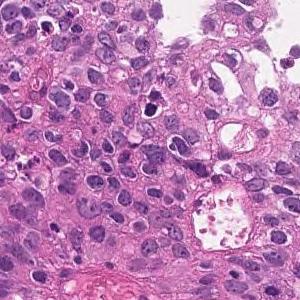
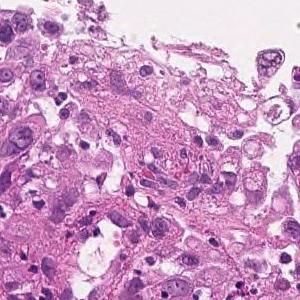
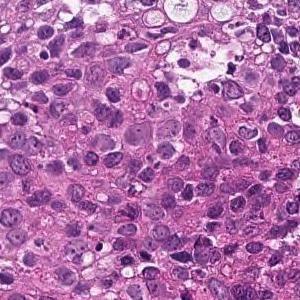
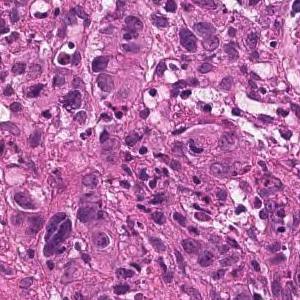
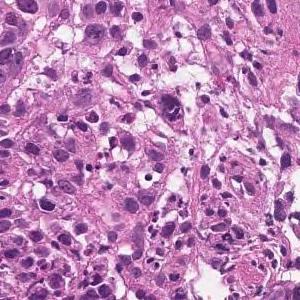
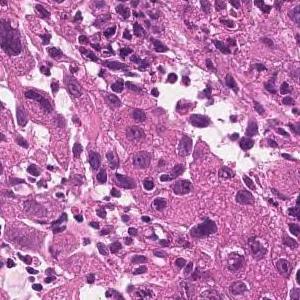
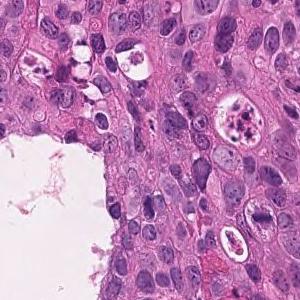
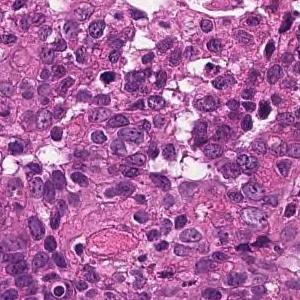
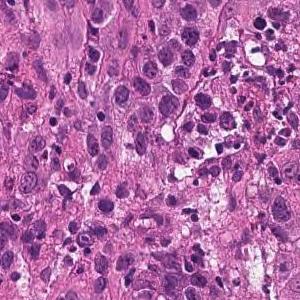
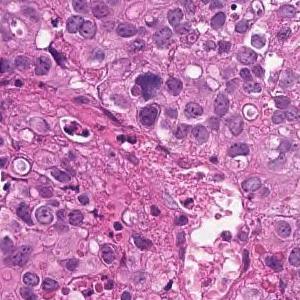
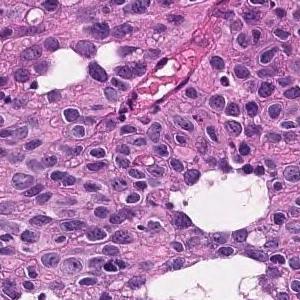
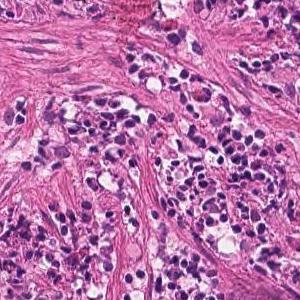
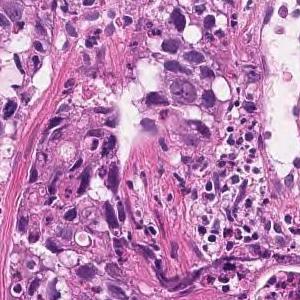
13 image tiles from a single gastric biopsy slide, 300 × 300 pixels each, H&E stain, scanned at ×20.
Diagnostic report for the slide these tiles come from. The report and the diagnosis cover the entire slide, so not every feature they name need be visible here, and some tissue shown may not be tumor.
The superficial epithelium shows a large sheet-like shape, and some tumor tissue infiltrates with small irregular ducts. Poorly differentiated adenocarcinoma, solid-type
Histologic type: Poorly differentiated adenocarcinoma, solid type. This name comes from the Japanese Classification of Gastric Carcinoma; the WHO 2019 classification calls it tubular adenocarcinoma, poorly differentiated.
